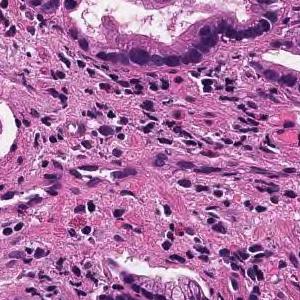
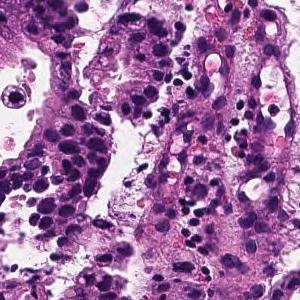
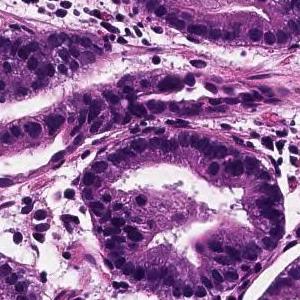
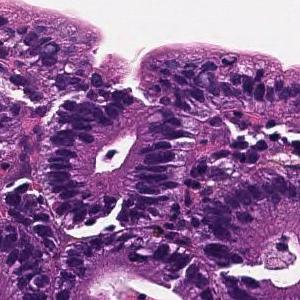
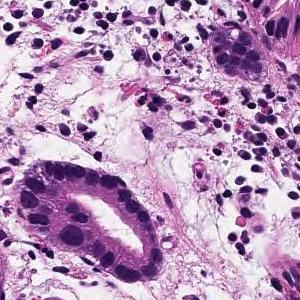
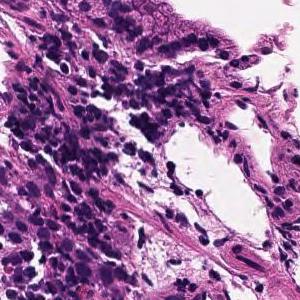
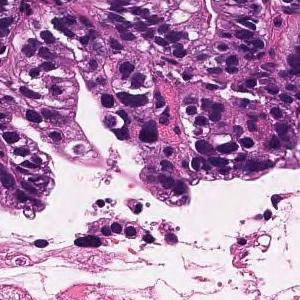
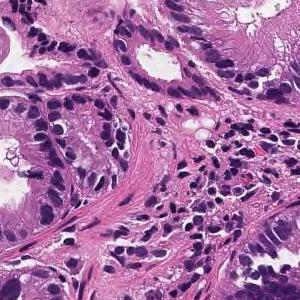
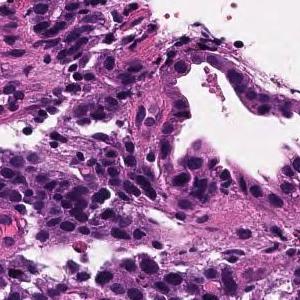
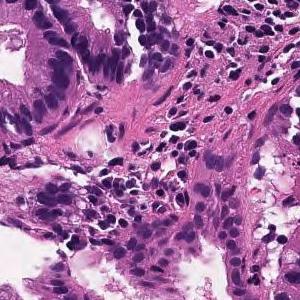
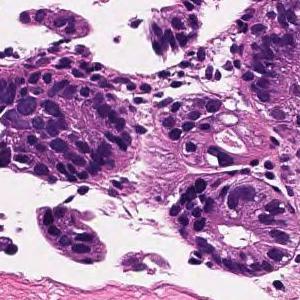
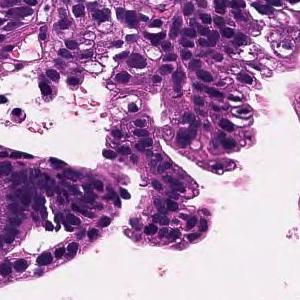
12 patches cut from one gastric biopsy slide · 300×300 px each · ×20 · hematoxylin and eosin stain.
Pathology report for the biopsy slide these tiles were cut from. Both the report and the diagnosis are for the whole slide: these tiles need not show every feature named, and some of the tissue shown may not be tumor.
From the superficial epithelium to the muscularis mucosae, tumor tissue consisting of medium-sized and irregular glandular ducts infiltrating is observed. Well differentiated tubular adenocarcinoma
